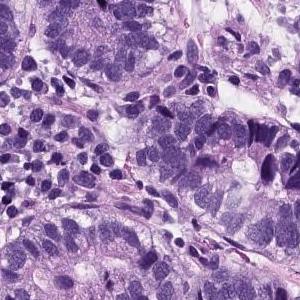
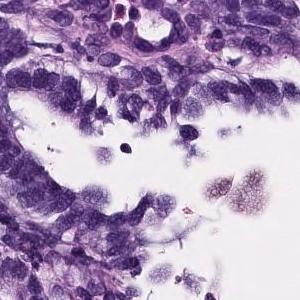
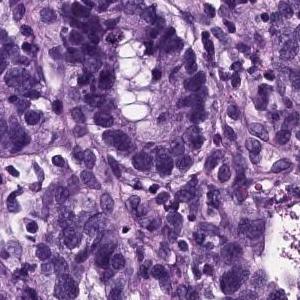
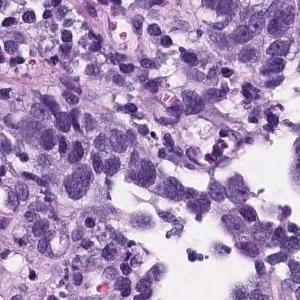
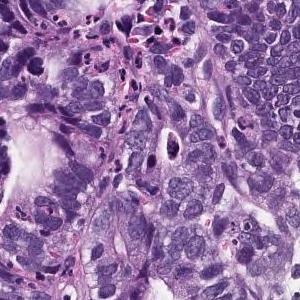
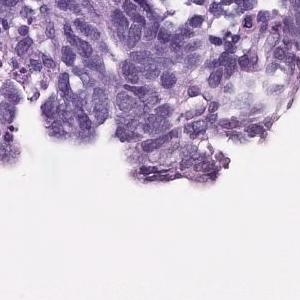
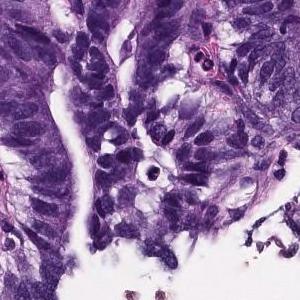
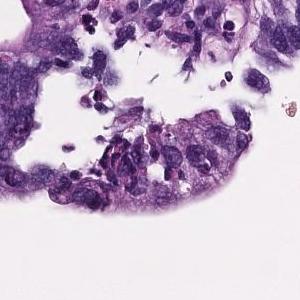
H&E stain, 8 image tiles from a single gastric biopsy slide, 300×300 px each.
Pathology report for the biopsy slide these tiles were cut from. The findings and the diagnosis refer to the entire slide; these tiles show only part of it, possibly with non-tumor tissue, and may not show every feature named.
On the superficial epithelium, tumor tissue consisting of large, irregular glandular ducts partially fused and infiltrated is observed. Well to moderately differentiated tubular adenocarcinoma (well differentiated tubular adenocarcinoma, moderately differentiated tubular adenocarcinoma)
The dataset labels this slide well differentiated tubular adenocarcinoma.
